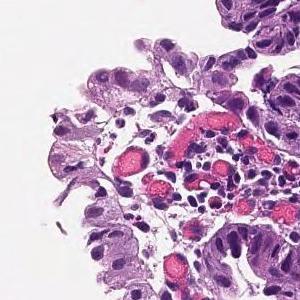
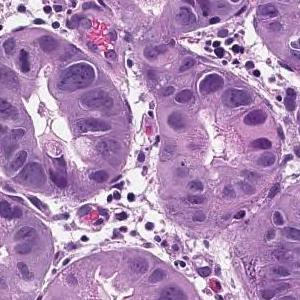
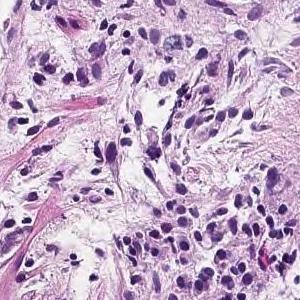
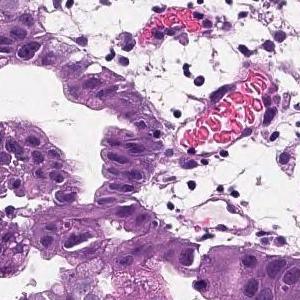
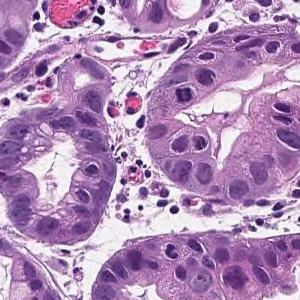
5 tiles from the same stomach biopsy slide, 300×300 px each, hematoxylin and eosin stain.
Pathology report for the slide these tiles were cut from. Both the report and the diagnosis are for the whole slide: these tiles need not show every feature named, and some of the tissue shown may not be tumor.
On the superficial epithelium, tumor tissue that infiltrates by forming medium-sized papillary or small irregular ducts is observed. Papillary adenocarcinoma
